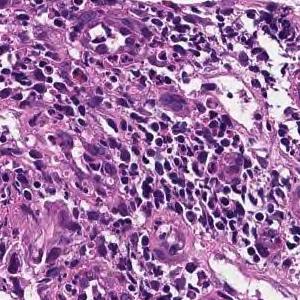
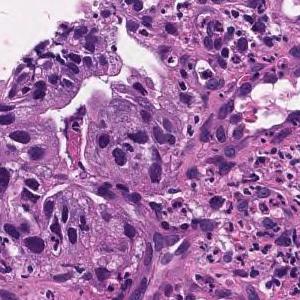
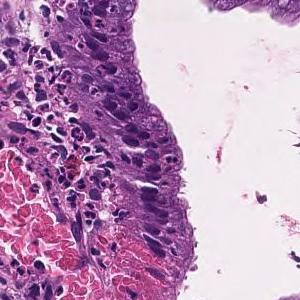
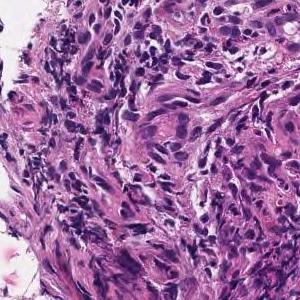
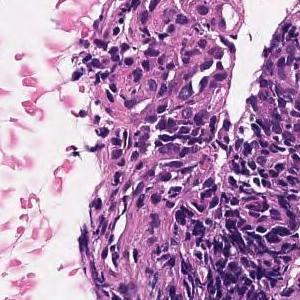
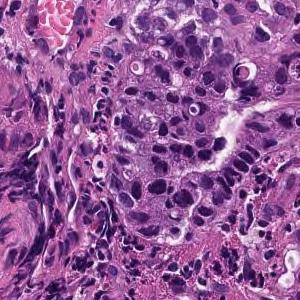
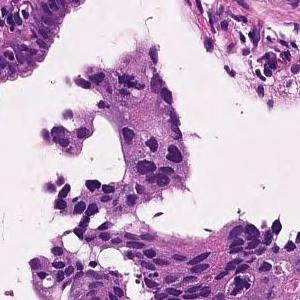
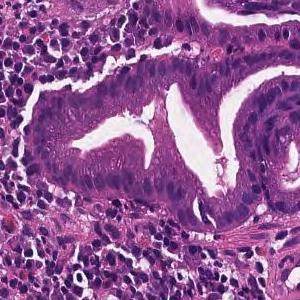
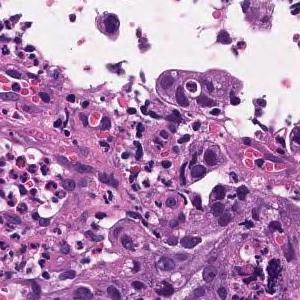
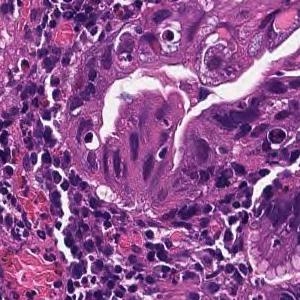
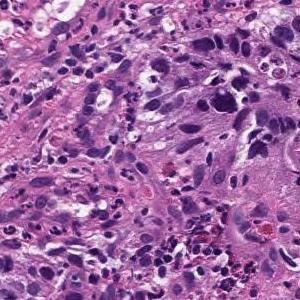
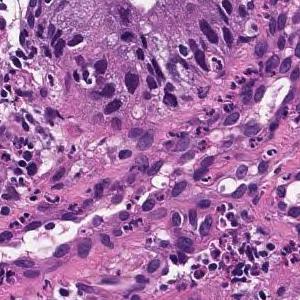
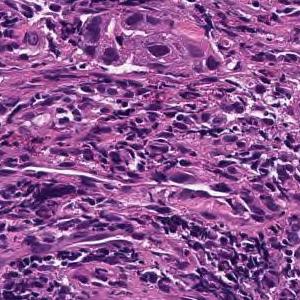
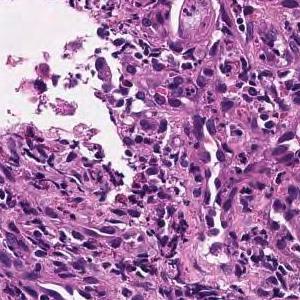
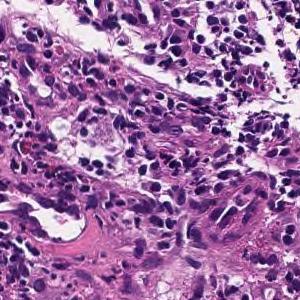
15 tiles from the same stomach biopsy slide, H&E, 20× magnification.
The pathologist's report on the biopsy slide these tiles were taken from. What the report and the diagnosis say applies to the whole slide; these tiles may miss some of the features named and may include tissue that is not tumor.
In the superficial epithelium, tumor tissue that invades by forming medium-sized to small, irregular ducts is observed. moderately differentiated tubular adenocarcinoma.
